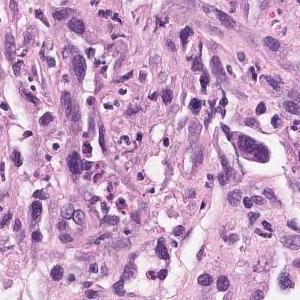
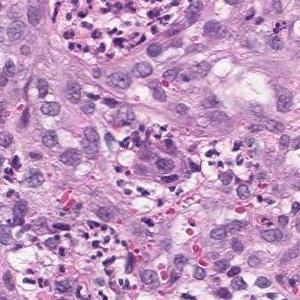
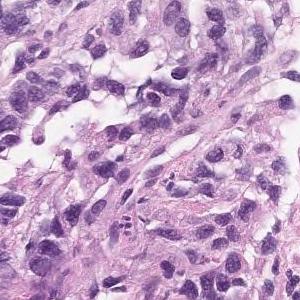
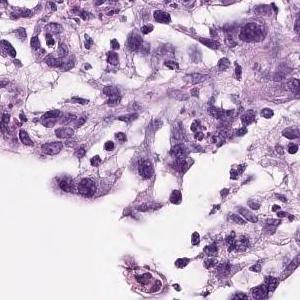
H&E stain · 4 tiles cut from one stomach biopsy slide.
The pathologist's report on the biopsy slide these tiles were taken from. The findings and the diagnosis refer to the entire slide; these tiles show only part of it, possibly with non-tumor tissue, and may not show every feature named.
Medium to small, irregular glandular ducts are formed in the superficial epithelium, and in some cases, the glandular ducts are fused to show solid alveolar lesions and infiltrating tumor tissue is observed. Moderately to poorly differentiated adenocarcinoma.
